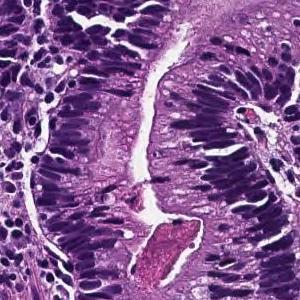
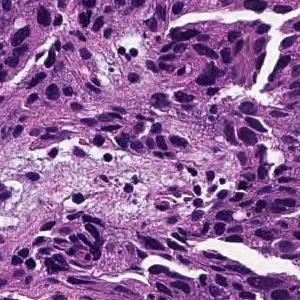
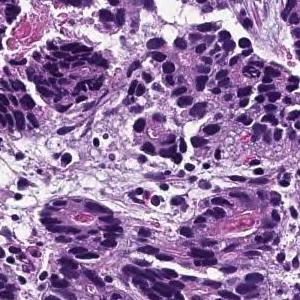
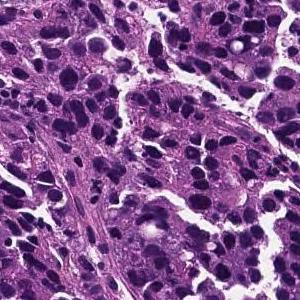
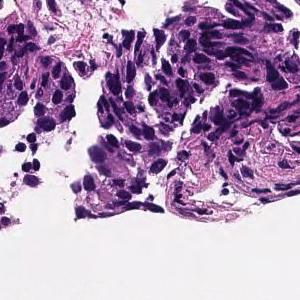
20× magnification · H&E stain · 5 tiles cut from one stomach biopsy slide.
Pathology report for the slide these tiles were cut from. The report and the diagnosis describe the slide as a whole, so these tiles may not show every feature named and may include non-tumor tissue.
From the superficial epithelium to the muscularis mucosae, tumor tissue consisting of medium-sized and irregular glandular ducts infiltrating is observed. Well differentiated tubular adenocarcinoma
